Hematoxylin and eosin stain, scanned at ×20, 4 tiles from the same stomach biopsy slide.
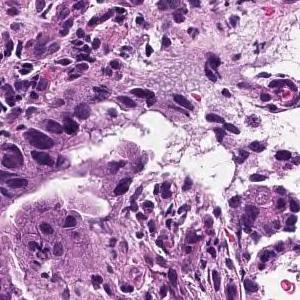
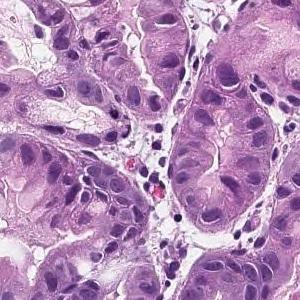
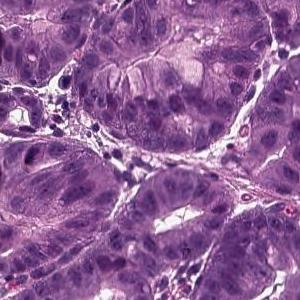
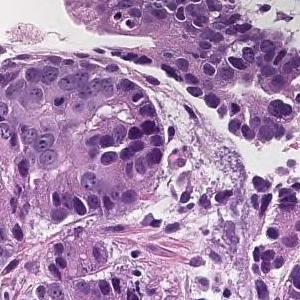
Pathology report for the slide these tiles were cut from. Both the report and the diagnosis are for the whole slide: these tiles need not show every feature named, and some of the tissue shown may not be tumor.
On the superficial epithelium, tumor tissue that infiltrates by forming medium-sized papillary or small irregular ducts is observed. Papillary adenocarcinoma
